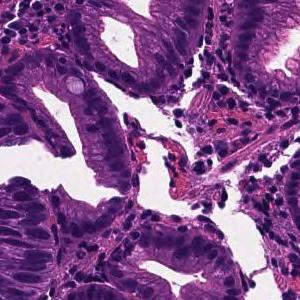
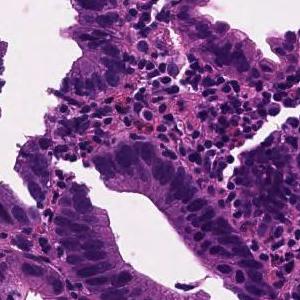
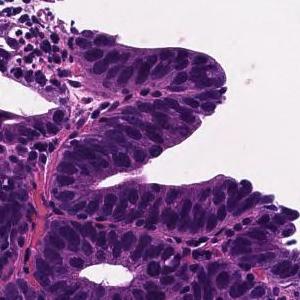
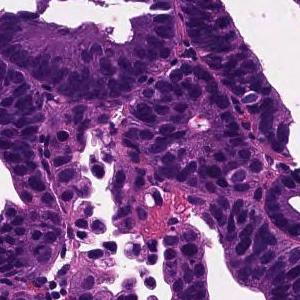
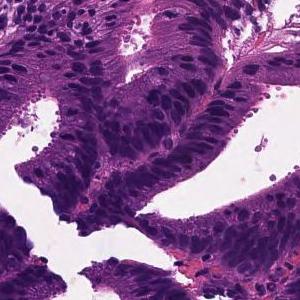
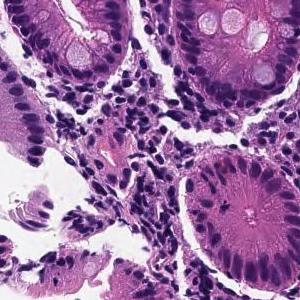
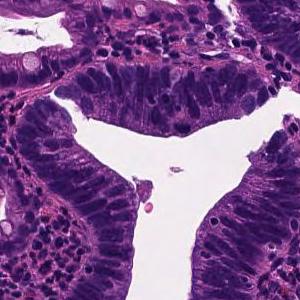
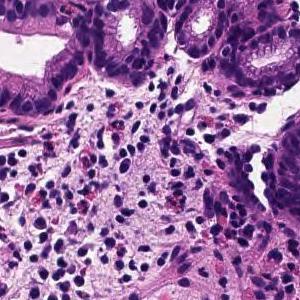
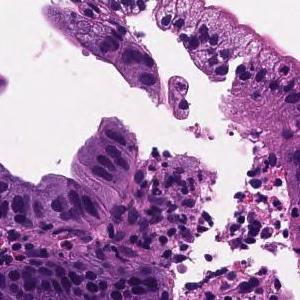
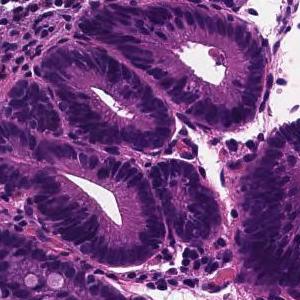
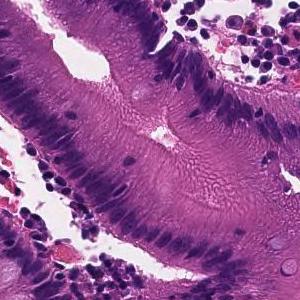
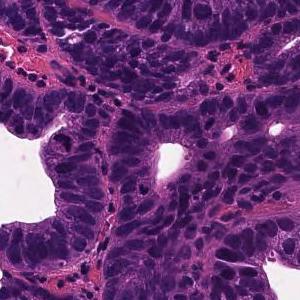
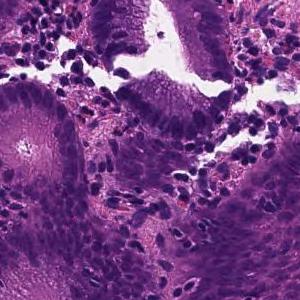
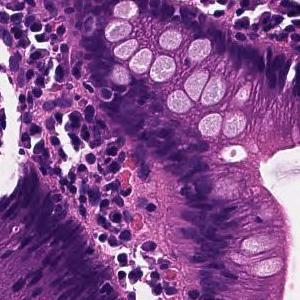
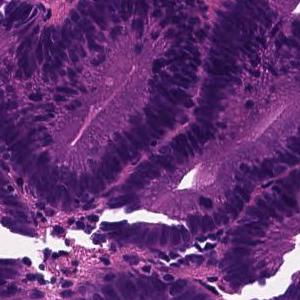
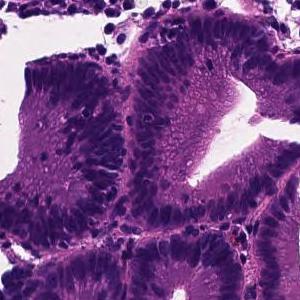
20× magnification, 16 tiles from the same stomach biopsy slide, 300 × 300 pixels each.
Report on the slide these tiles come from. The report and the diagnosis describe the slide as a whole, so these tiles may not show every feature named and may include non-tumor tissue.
Tumor tissue in which medium to small irregular ducts infiltrate and proliferate in the submucosa can be seen in the epithelium. Well differentiated tubular adenocarcinoma
